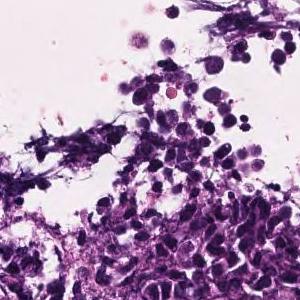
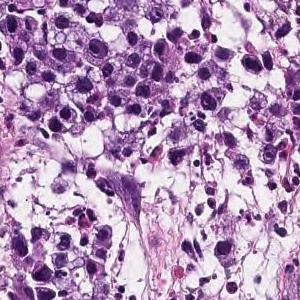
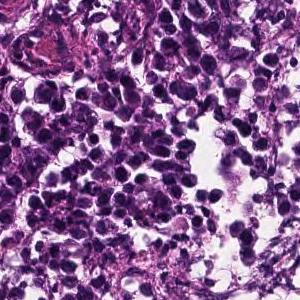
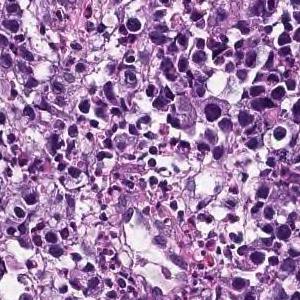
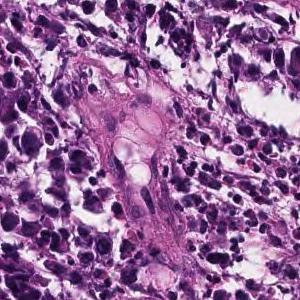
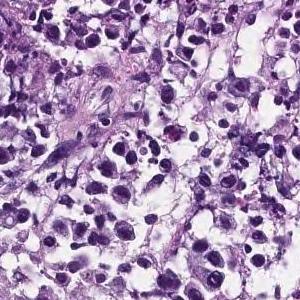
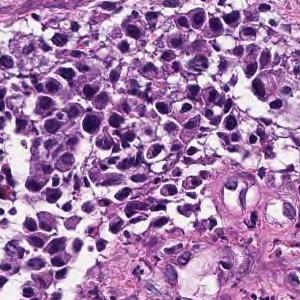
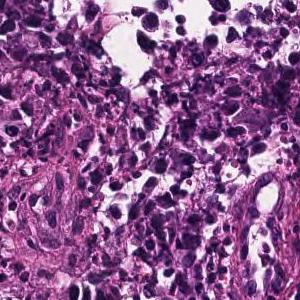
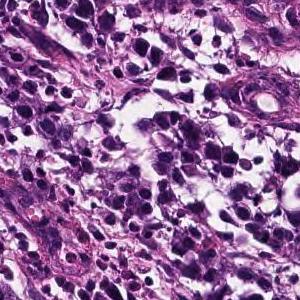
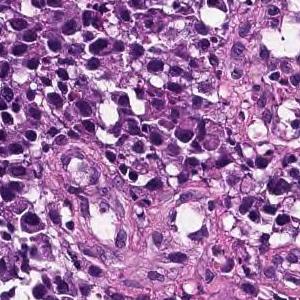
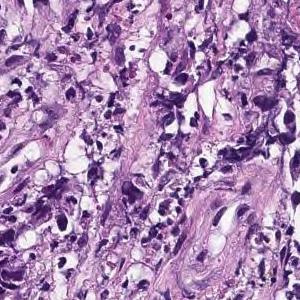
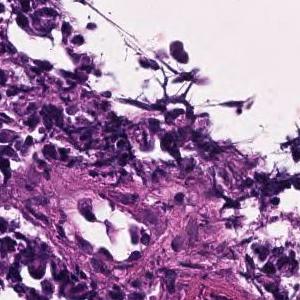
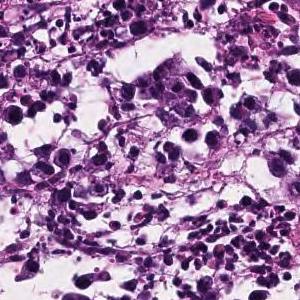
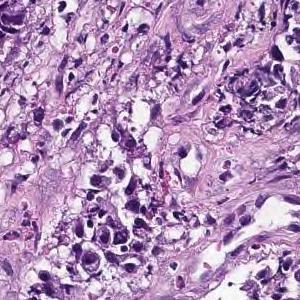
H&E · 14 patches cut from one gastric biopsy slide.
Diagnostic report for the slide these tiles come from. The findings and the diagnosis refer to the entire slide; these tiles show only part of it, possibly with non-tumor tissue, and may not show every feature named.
The superficial epithelium shows a small alveolar shape, and some tumor tissues infiltrate with a cord-like structure. Poorly differentiated adenocarcinoma, solid-type
Tumor subtype: poorly differentiated adenocarcinoma, solid type, a category of the Japanese Classification of Gastric Carcinoma; in the WHO 2019 classification it is tubular adenocarcinoma, poorly differentiated.
